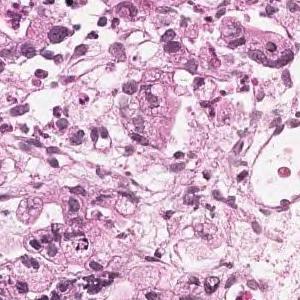
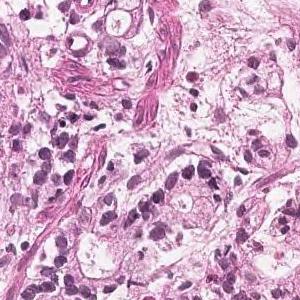
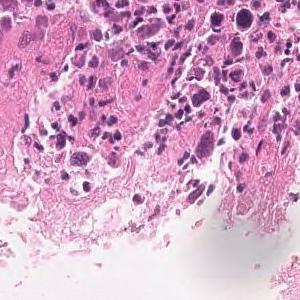
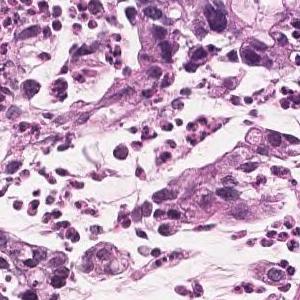
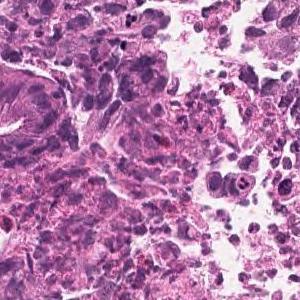
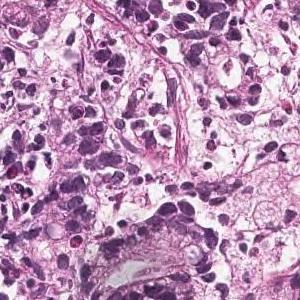
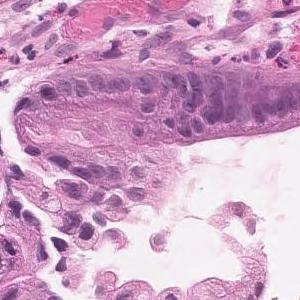
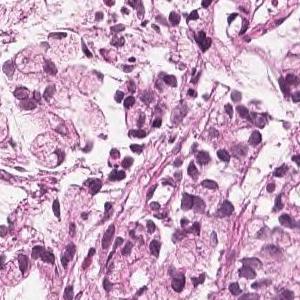
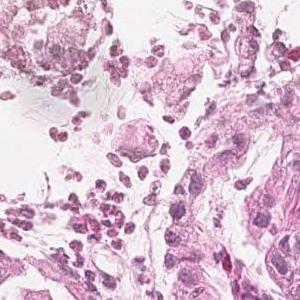
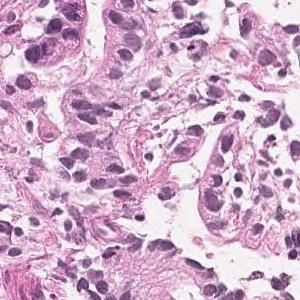
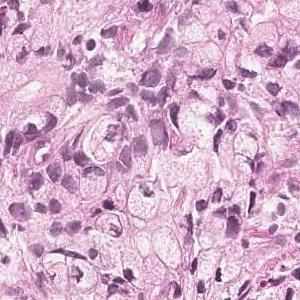
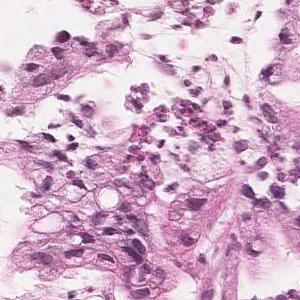
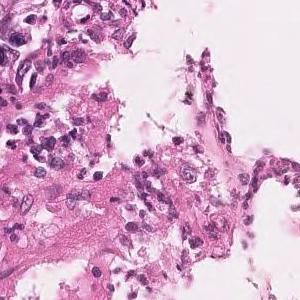
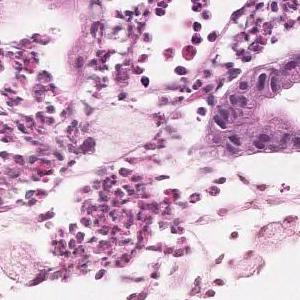
14 image tiles from a single gastric biopsy slide, 300 × 300 pixels each, 20× magnification, H&E.
The pathologist's report on the biopsy slide these tiles were taken from. The report and the diagnosis describe the slide as a whole, so these tiles may not show every feature named and may include non-tumor tissue.
In the superficial epithelium, medium to small irregular gland ducts are formed, and in some cases, the ducts are fused to show solid alveolar lesions and infiltrating tumor tissue is observed. Moderately to poorly differentiated adenocarcinoma
